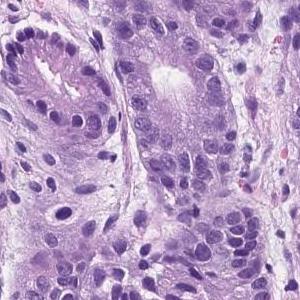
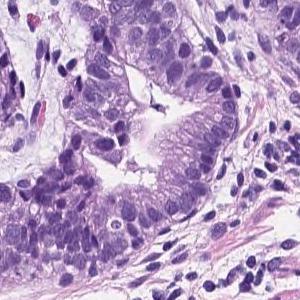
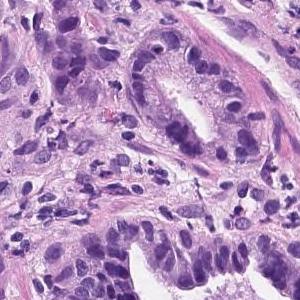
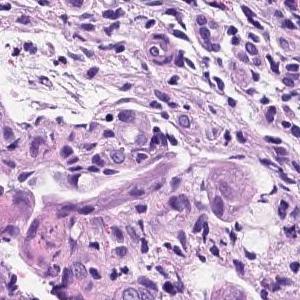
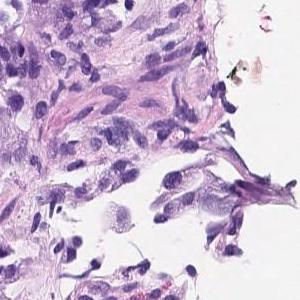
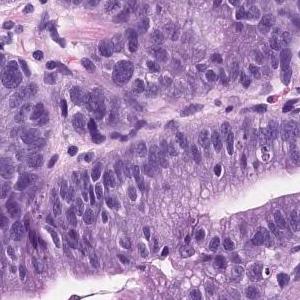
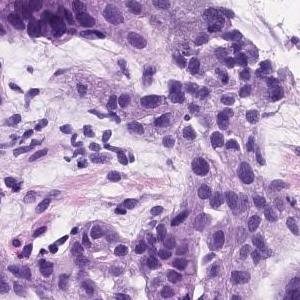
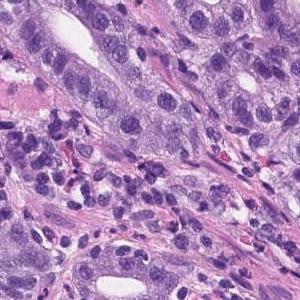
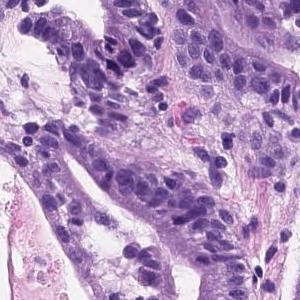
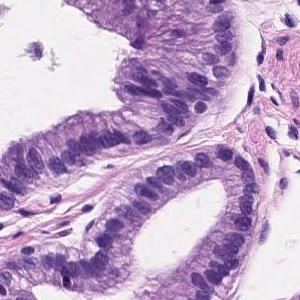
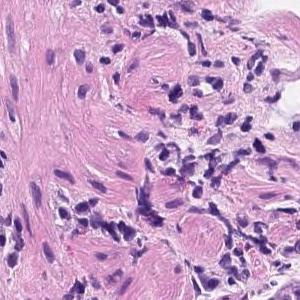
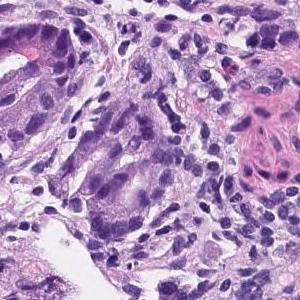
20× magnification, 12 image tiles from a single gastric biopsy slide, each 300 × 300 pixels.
Diagnostic report for the slide these tiles come from. The findings and the diagnosis refer to the entire slide; these tiles show only part of it, possibly with non-tumor tissue, and may not show every feature named.
Tumor tissue consisting of medium-sized and irregular ducts is observed infiltrating in the superficial epithelium. Tumor cells are highly columnar, with nuclei aligned basolaterally and polarized. Well differentiated tubular adenocarcinoma.
